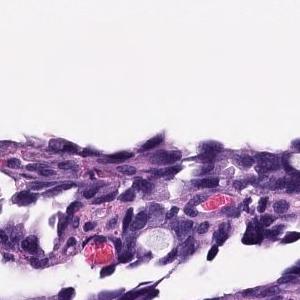
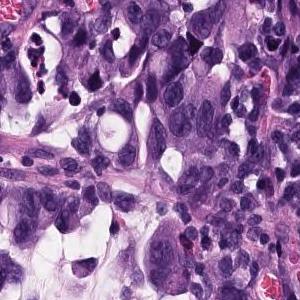
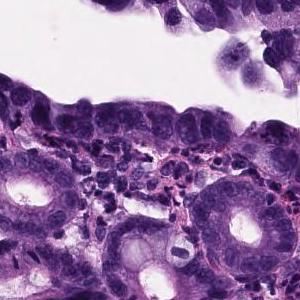
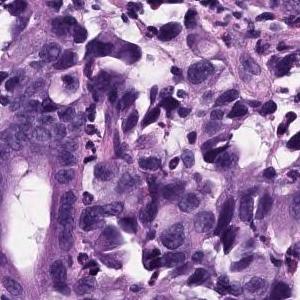
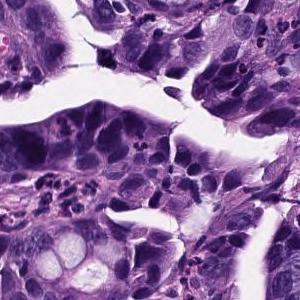
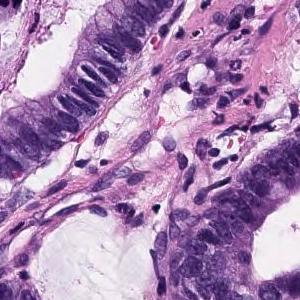
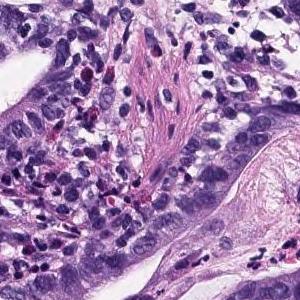
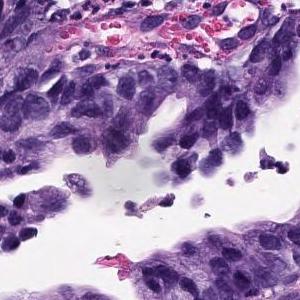
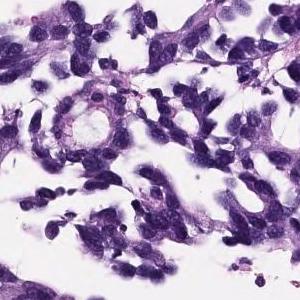
9 tiles cut from one stomach biopsy slide, each 300 × 300 pixels, scanned at ×20, H&E.
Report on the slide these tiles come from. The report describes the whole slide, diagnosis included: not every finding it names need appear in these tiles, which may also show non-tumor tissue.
Atypical epithelium proliferating showing villus construction and irregular gland duct construction is observed. Moderately differentiated tubular adenocarcinoma.
